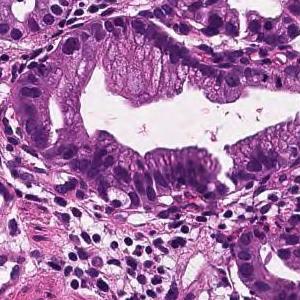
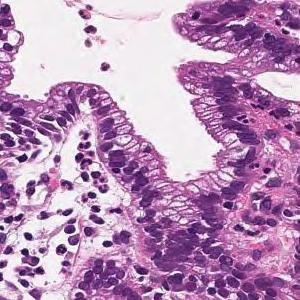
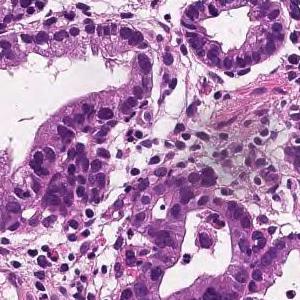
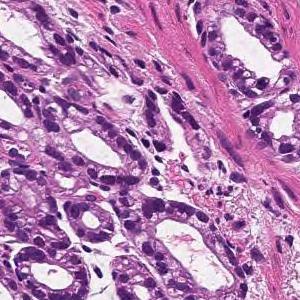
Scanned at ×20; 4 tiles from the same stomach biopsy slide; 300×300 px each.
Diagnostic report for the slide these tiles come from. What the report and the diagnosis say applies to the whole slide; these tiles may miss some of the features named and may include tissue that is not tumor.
On the superficial epithelium, tumor tissue that infiltrates by forming medium-sized papillary or small irregular ducts is observed. Papillary adenocarcinoma
